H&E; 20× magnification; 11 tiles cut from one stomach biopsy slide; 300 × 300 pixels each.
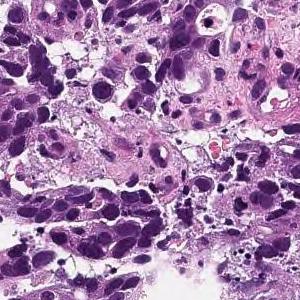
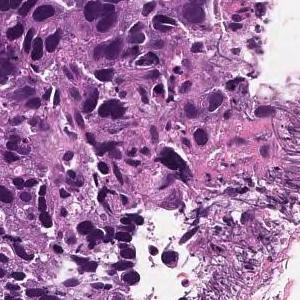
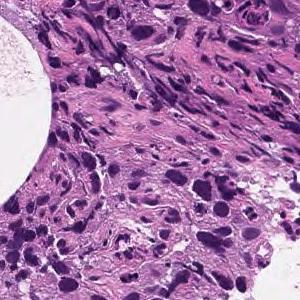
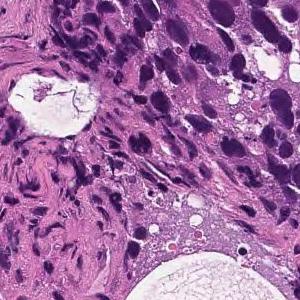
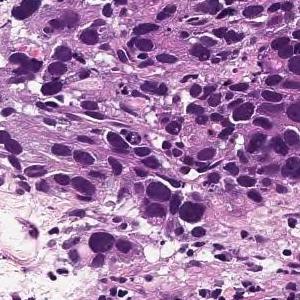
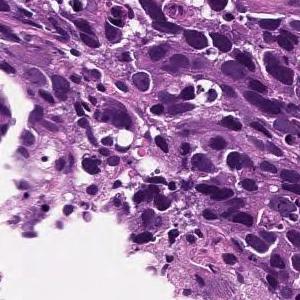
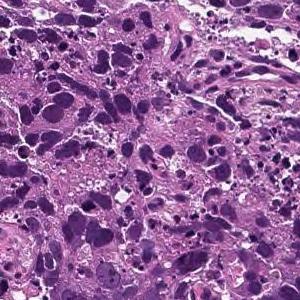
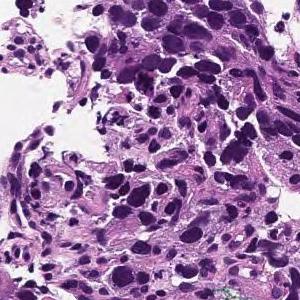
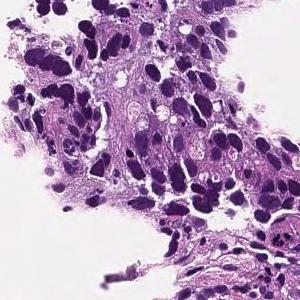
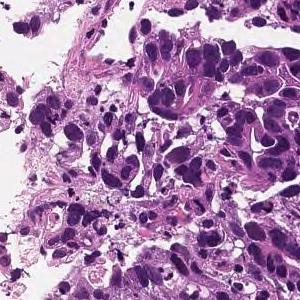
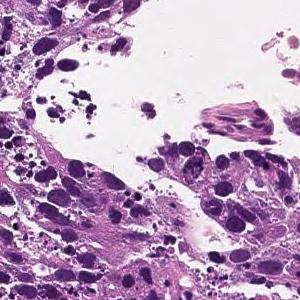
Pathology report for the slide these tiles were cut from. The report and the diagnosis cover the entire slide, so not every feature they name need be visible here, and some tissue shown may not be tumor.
Tumor cells are medium-sized polygonal with no extracellular mucus production or duct formation. Poorly differentiated adenocarcinoma, solid-type
Subtype: Poorly differentiated adenocarcinoma, solid type. This name comes from the Japanese Classification of Gastric Carcinoma; the WHO 2019 classification calls it tubular adenocarcinoma, poorly differentiated.
